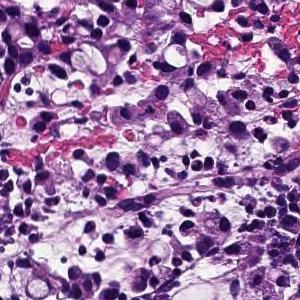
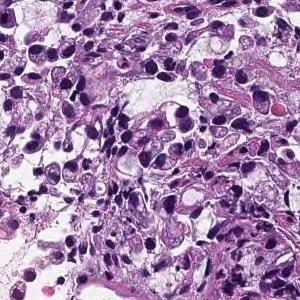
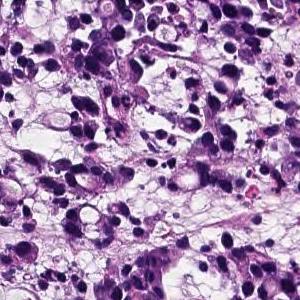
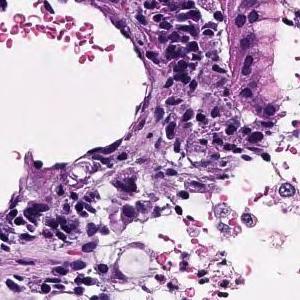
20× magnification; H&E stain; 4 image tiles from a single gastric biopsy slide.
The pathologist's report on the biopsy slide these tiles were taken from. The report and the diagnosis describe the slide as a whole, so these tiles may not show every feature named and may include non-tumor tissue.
Tumor tissue consisting of cord-like or small, irregular glandular ducts fused and infiltrated is observed in the superficial epithelium. Poorly differentiated adenocarcinoma, non-solid type
"Non-solid type" is a category of the Japanese Classification of Gastric Carcinoma.
